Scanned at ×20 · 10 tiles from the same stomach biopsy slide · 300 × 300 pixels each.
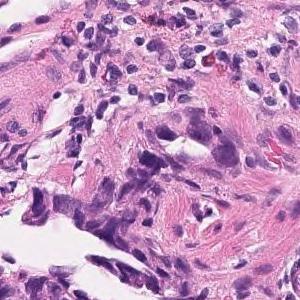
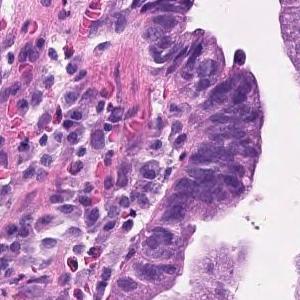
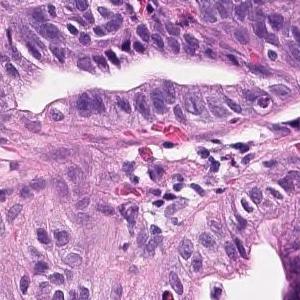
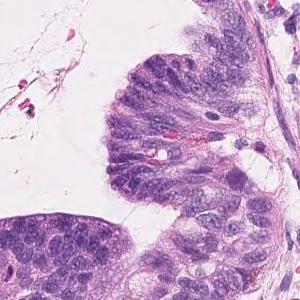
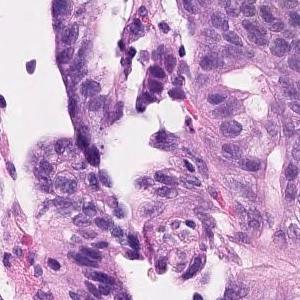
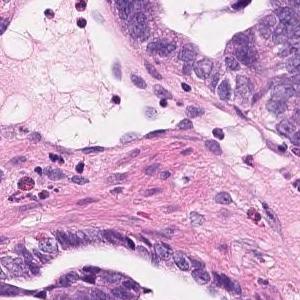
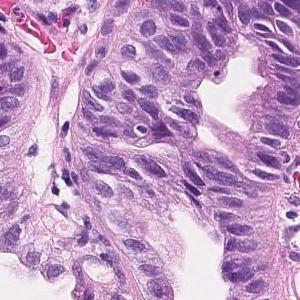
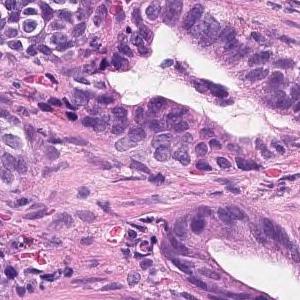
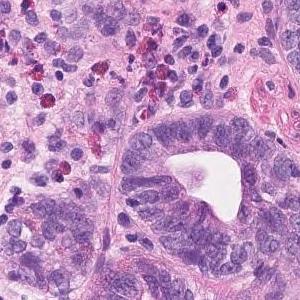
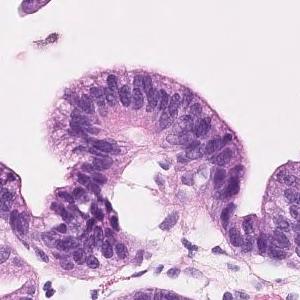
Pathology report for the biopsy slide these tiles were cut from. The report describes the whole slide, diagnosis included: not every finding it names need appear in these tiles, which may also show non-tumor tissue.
Tumor cells are large, highly columnar, large club-shaped nuclei, and are associated with chromatin aggregation. Papillary adenocarcinoma.
